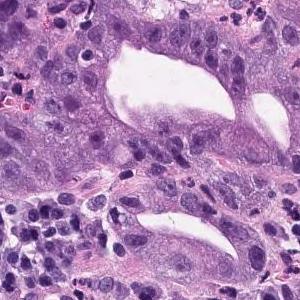
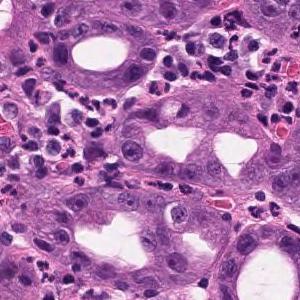
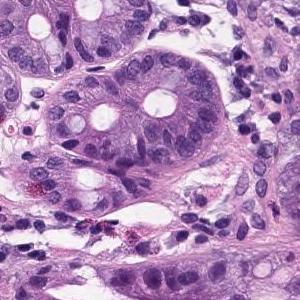
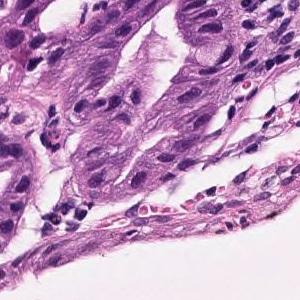
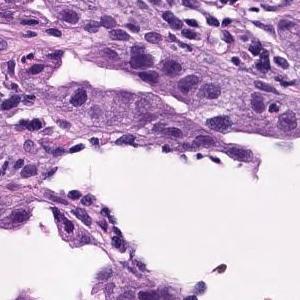
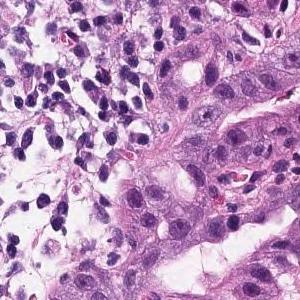
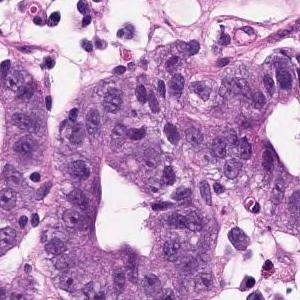
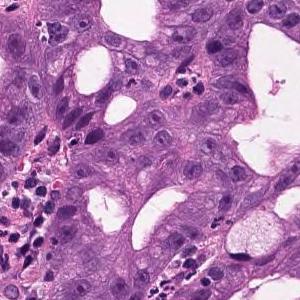
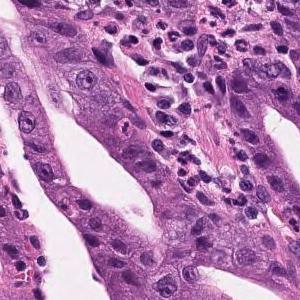
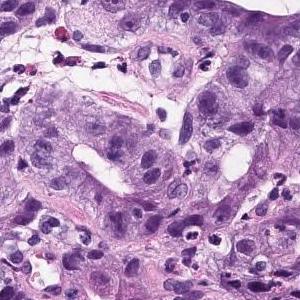
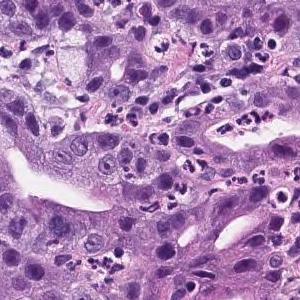
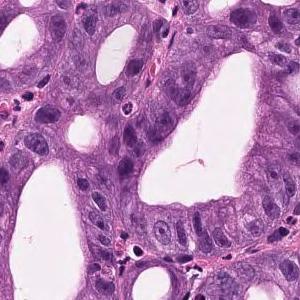
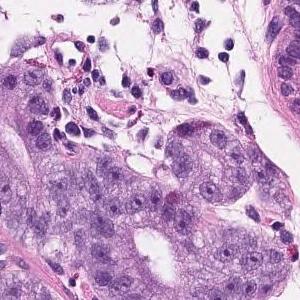
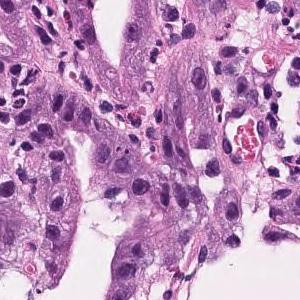
14 tiles cut from one stomach biopsy slide; ×20; H&E stain.
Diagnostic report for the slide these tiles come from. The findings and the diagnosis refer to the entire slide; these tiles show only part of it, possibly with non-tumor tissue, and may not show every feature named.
In the superficial epithelium, tumor tissue that invades by forming medium-sized to small, irregular ducts is observed. Well to moderately differentiated adenocarcinoma (well differentiated tubular adenocarcinoma, moderately differentiated tubular adenocarcinoma).
Subtype: Well to moderately differentiated tubular adenocarcinoma.
